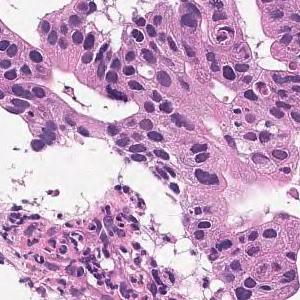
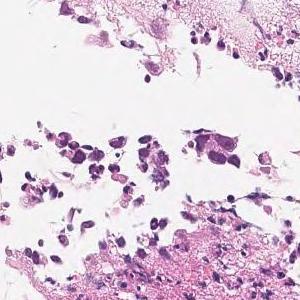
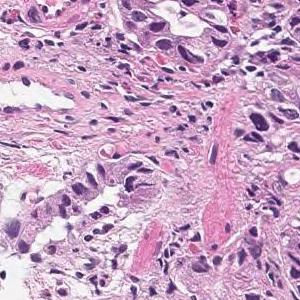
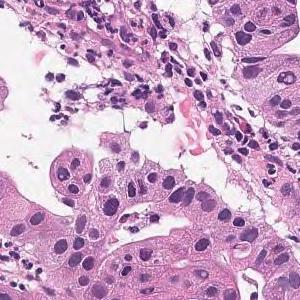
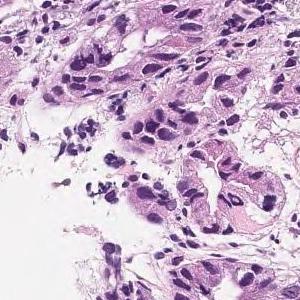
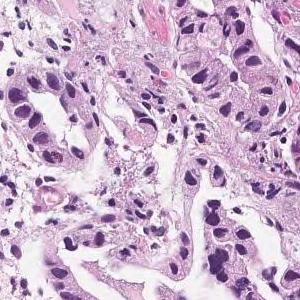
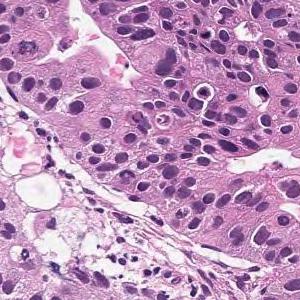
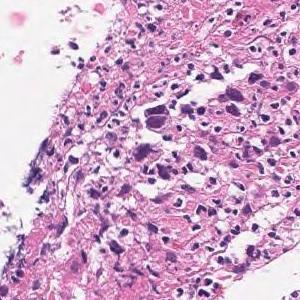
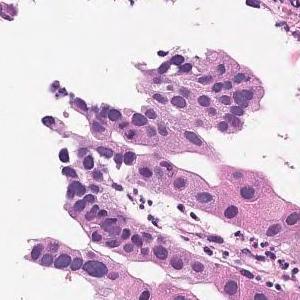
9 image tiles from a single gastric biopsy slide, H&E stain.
Report on the slide these tiles come from. The report and the diagnosis cover the entire slide, so not every feature they name need be visible here, and some tissue shown may not be tumor.
Tumor tissue that grows by forming gland ducts from the surface layer to the submucosa is observed. moderately differentiated tubular adenocarcinoma
